10 tiles cut from one stomach biopsy slide · 300×300 px each · 20× magnification.
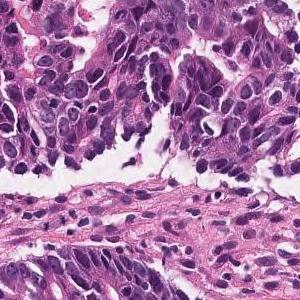
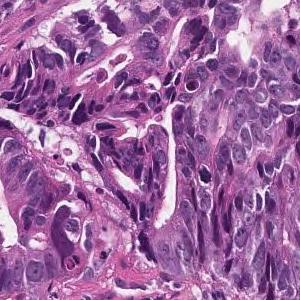
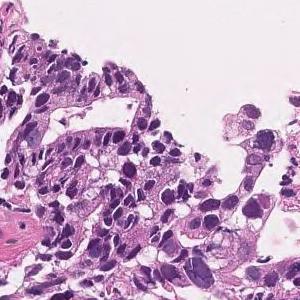
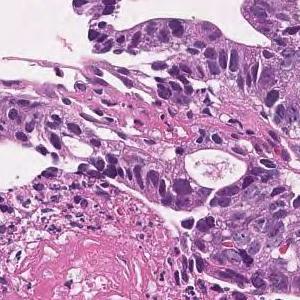
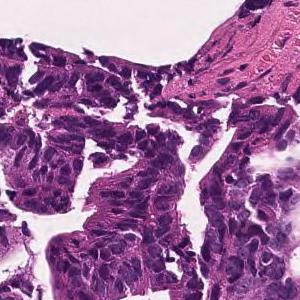
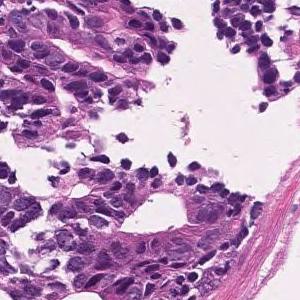
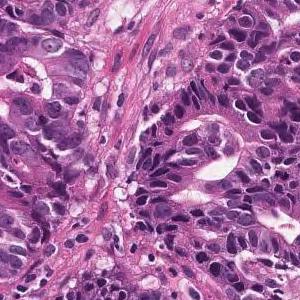
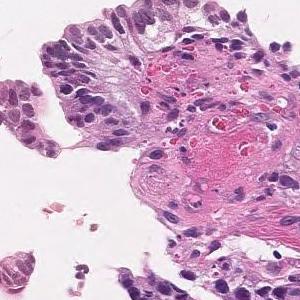
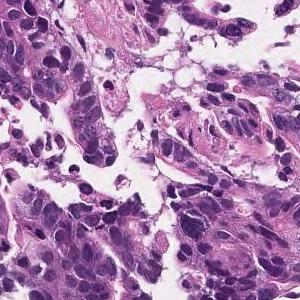
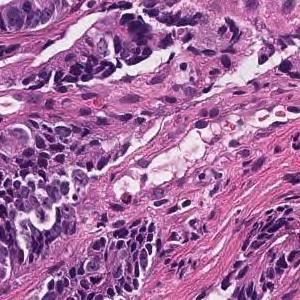
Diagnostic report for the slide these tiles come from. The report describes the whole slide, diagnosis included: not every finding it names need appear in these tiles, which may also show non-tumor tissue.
In the superficial epithelium, tumor tissue that invades by forming medium-sized to small, irregular ducts is observed. moderately differentiated tubular adenocarcinoma.
